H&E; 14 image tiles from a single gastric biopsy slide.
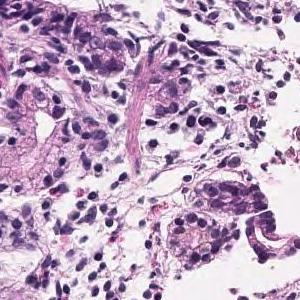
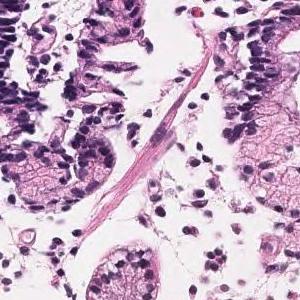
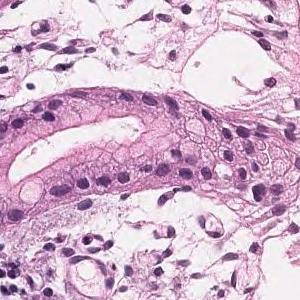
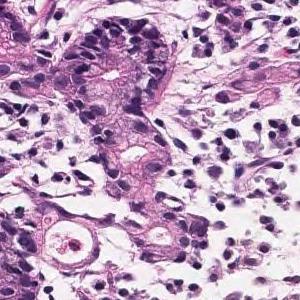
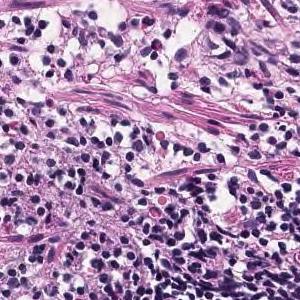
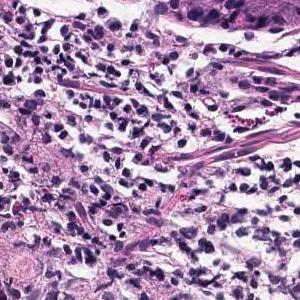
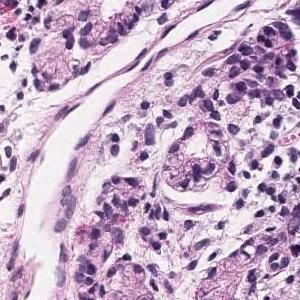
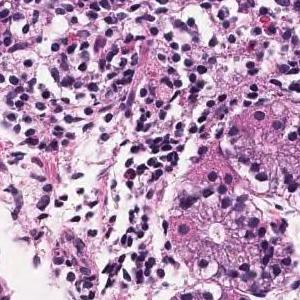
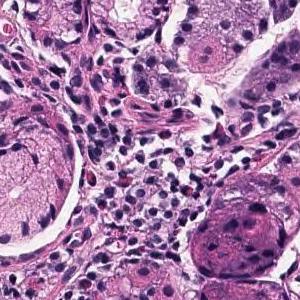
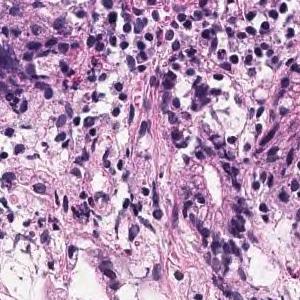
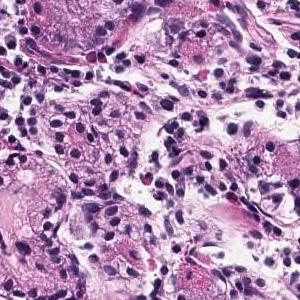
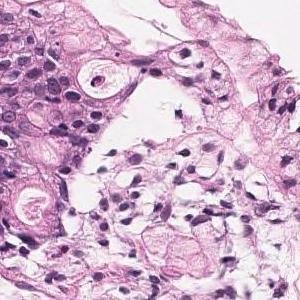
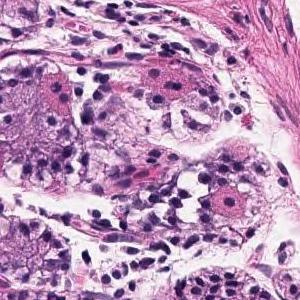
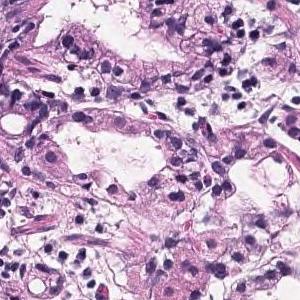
Pathology report for the slide these tiles were cut from. The report and the diagnosis describe the slide as a whole, so these tiles may not show every feature named and may include non-tumor tissue.
Tumor tissue that grows and grows is observed, showing a medium-sized round or irregular duct. moderately differentiated tubular adenocarcinoma
